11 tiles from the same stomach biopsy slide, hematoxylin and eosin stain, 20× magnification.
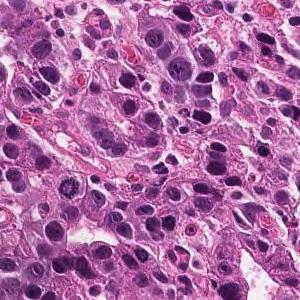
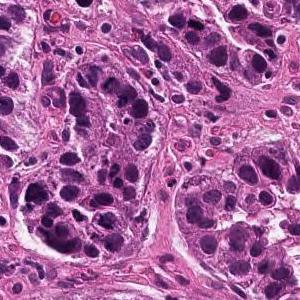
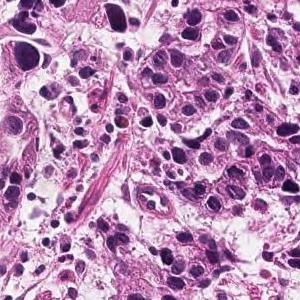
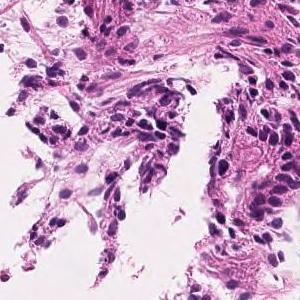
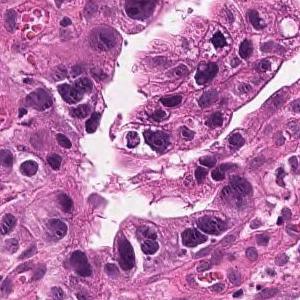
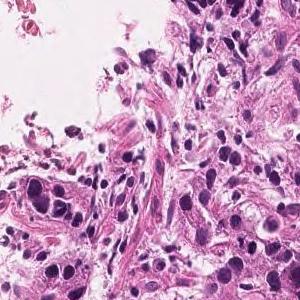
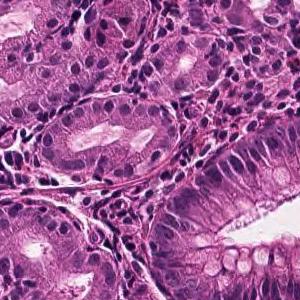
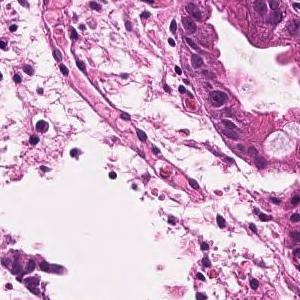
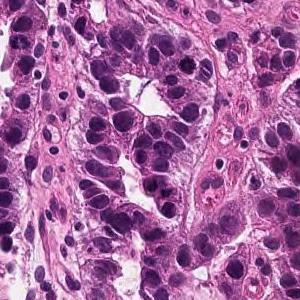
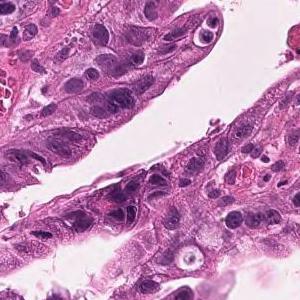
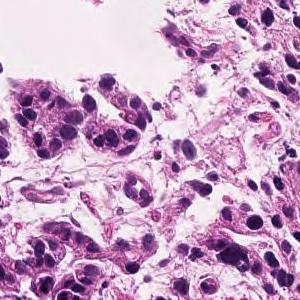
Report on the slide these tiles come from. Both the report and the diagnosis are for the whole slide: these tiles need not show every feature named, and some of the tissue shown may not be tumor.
Tumor tissue consisting of medium-sized, cord-like or irregular glandular infiltration is observed in the superficial epithelium. Poorly differentiated adenocarcinoma, non-solid type or moderately differentiated tubular adenocarcinoma
Histological subtype: Moderately to poorly differentiated adenocarcinoma.
The term "non-solid type" comes from the Japanese Classification of Gastric Carcinoma.
